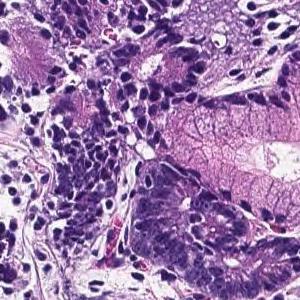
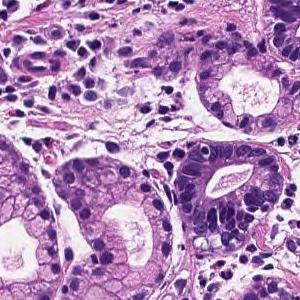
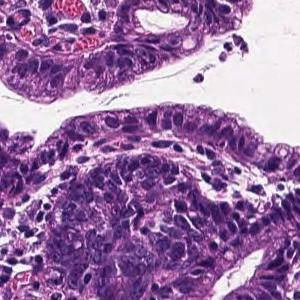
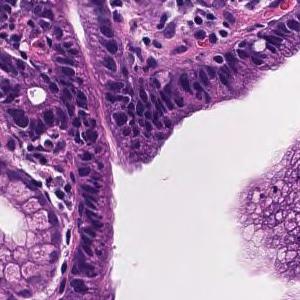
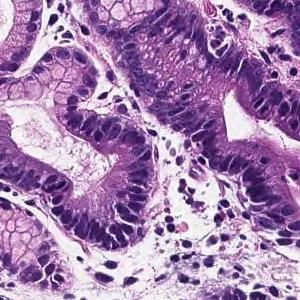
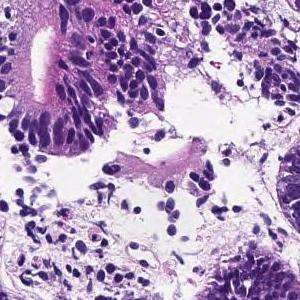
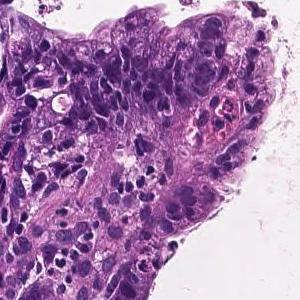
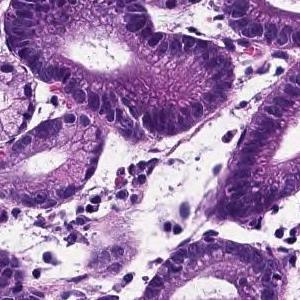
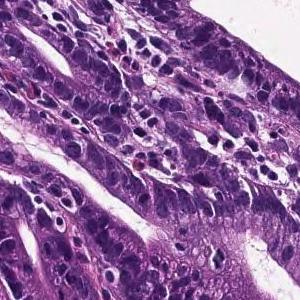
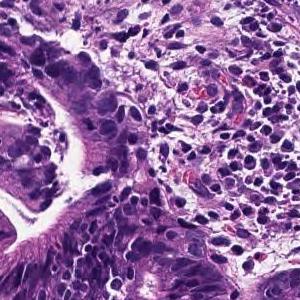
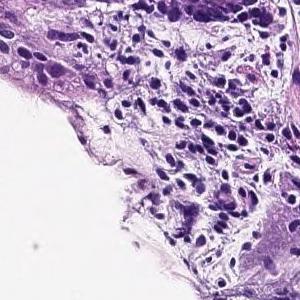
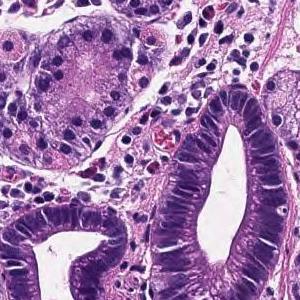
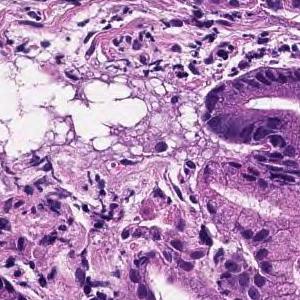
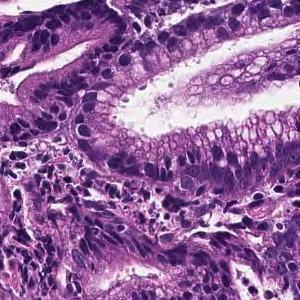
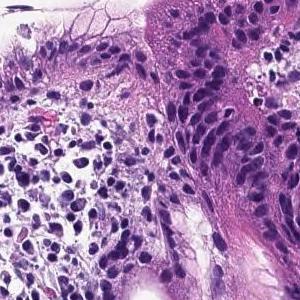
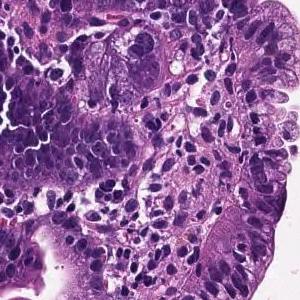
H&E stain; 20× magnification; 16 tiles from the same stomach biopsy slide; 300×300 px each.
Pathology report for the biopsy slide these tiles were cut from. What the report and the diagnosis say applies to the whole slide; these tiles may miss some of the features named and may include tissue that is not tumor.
From the superficial epithelium to the muscularis mucosae, tumor tissue consisting of medium-sized and irregular glandular ducts infiltrating is observed. Well differentiated tubular adenocarcinoma
